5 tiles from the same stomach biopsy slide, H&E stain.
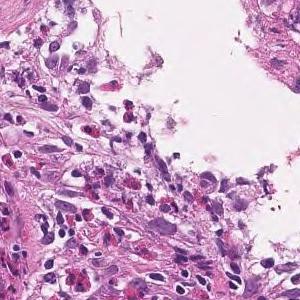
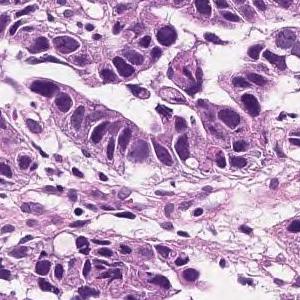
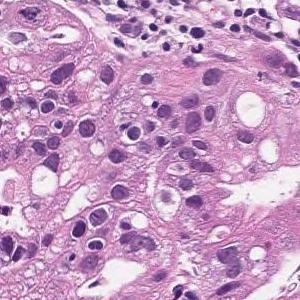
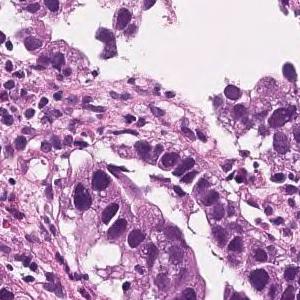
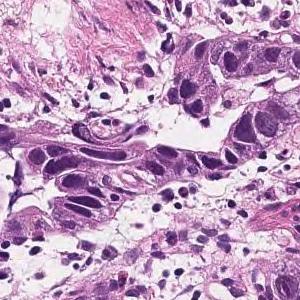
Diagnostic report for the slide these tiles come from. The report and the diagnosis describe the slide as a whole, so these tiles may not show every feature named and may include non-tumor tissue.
In the superficial epithelium, tumor tissue that invades by forming medium-sized to small, irregular ducts is observed. moderately differentiated tubular adenocarcinoma.
